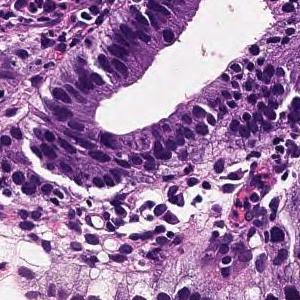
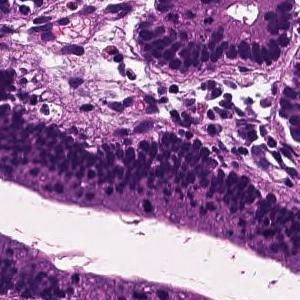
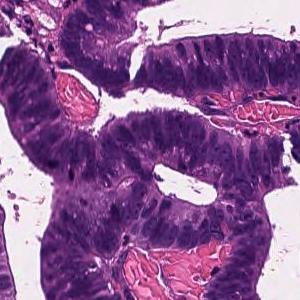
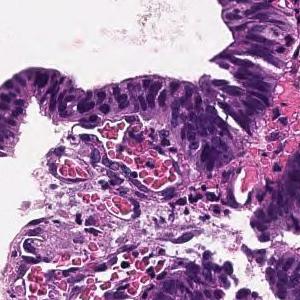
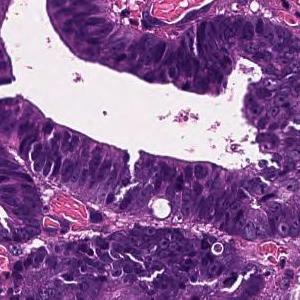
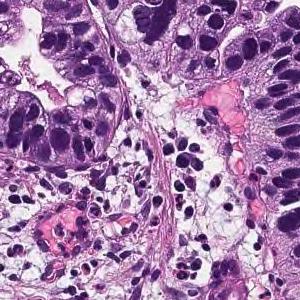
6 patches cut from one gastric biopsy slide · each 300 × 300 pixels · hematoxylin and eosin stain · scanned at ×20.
Pathology report for the biopsy slide these tiles were cut from. The report and the diagnosis describe the slide as a whole, so these tiles may not show every feature named and may include non-tumor tissue.
Tumor tissue consisting of large papillary structures is found in the superficial epithelium. Papillary adenocarcinoma.
